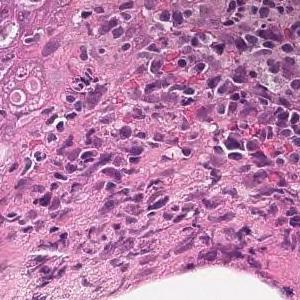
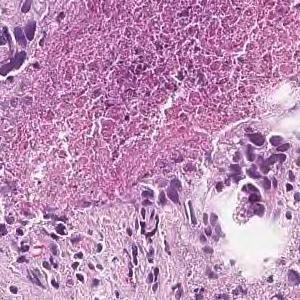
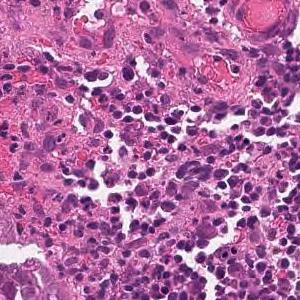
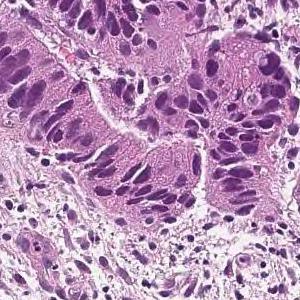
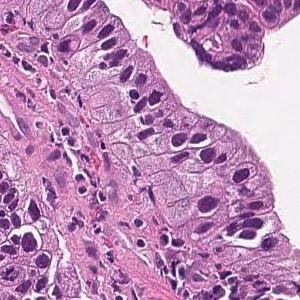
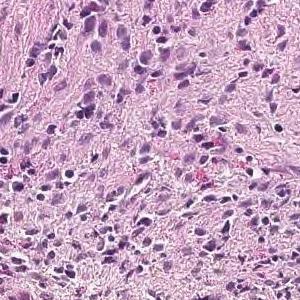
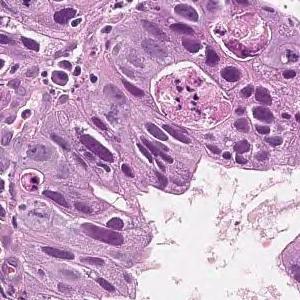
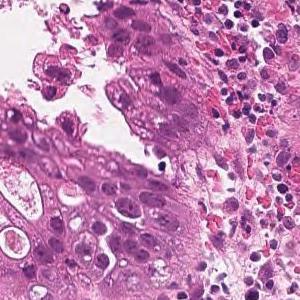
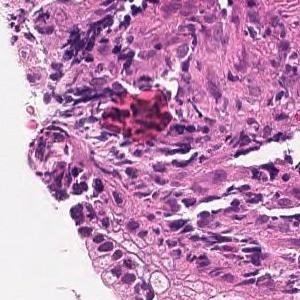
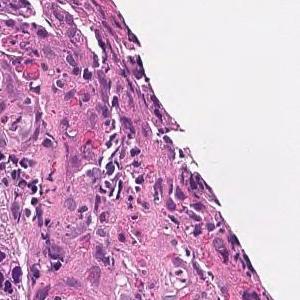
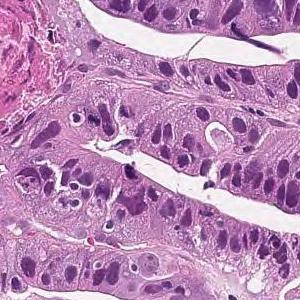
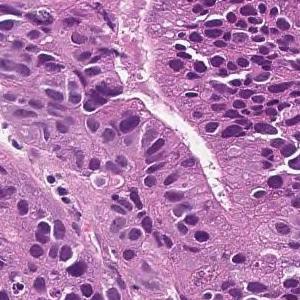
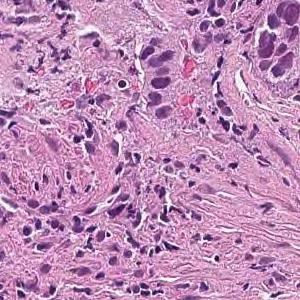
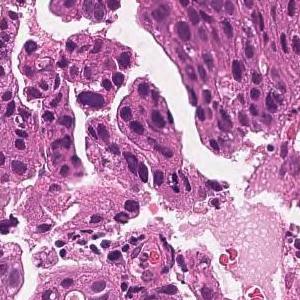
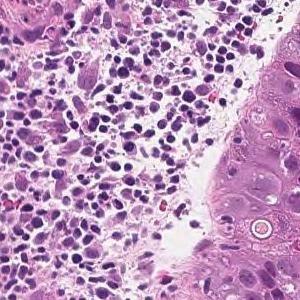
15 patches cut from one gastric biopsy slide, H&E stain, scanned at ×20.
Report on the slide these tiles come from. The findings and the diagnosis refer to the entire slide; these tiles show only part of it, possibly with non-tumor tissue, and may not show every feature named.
In the superficial epithelium, tumor tissue that invades by forming medium-sized to small, irregular ducts is observed. moderately differentiated tubular adenocarcinoma.
